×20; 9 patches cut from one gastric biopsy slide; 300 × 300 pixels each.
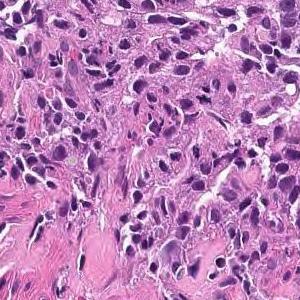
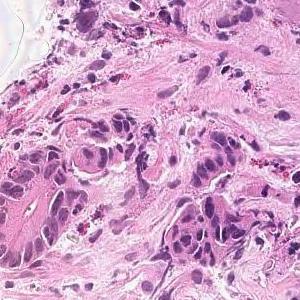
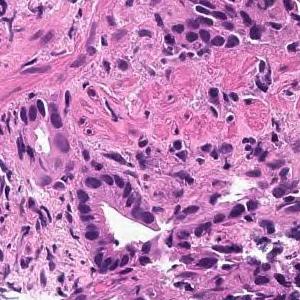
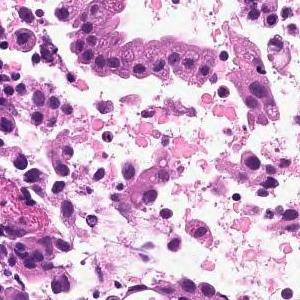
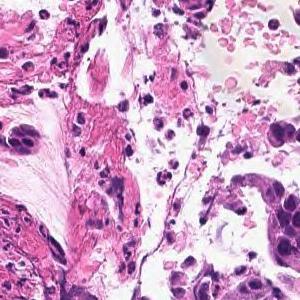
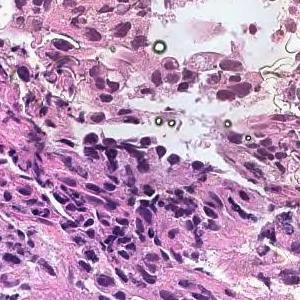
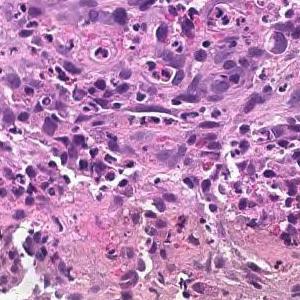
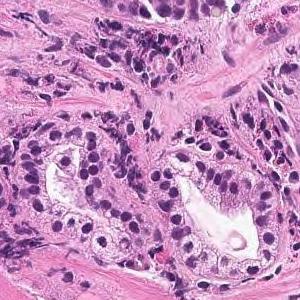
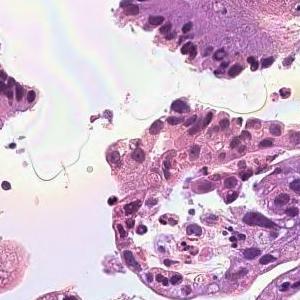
Pathology report for the slide these tiles were cut from. The report and the diagnosis cover the entire slide, so not every feature they name need be visible here, and some tissue shown may not be tumor.
On the superficial epithelium, tumor tissue consisting of large irregular glandular ducts partially fused and infiltrated is observed. Well to moderately differentiated tubular adenocarcinoma (well differentiated tubular adenocarcinoma, moderately differentiated tubular adenocarcinoma)
Classified as well to moderately differentiated tubular adenocarcinoma.
